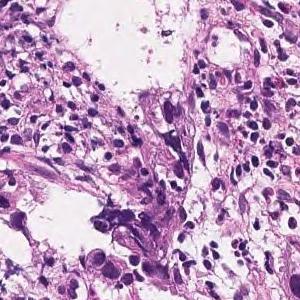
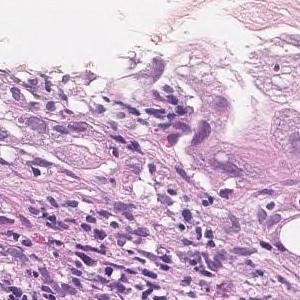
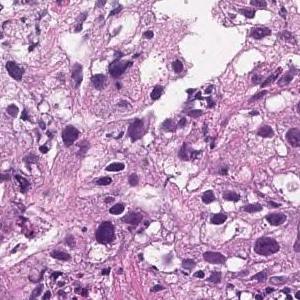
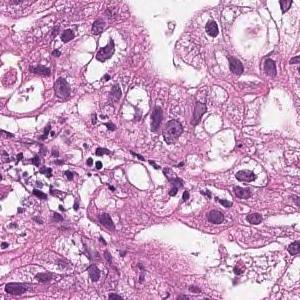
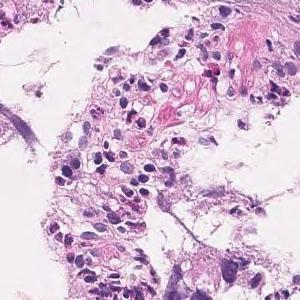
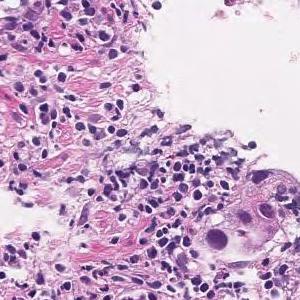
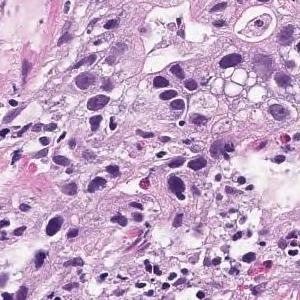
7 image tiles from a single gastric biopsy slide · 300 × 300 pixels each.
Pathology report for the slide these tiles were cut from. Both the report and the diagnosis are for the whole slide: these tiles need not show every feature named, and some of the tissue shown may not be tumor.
In the superficial epithelium, tumor tissue that invades by forming medium-sized to small, irregular ducts is observed. moderately differentiated tubular adenocarcinoma.
